6 patches cut from one gastric biopsy slide, 300 × 300 pixels each, scanned at ×20, H&E stain.
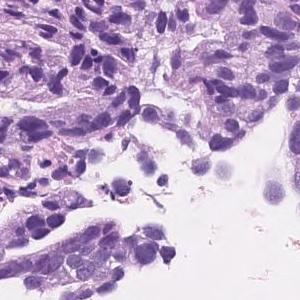
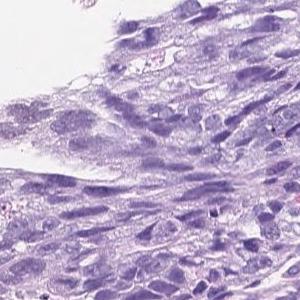
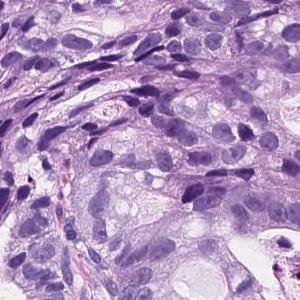
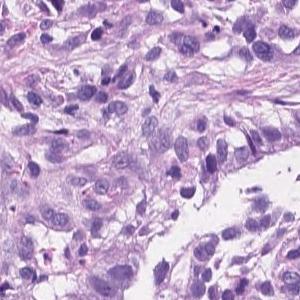
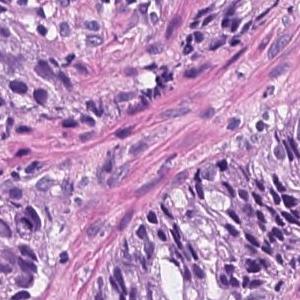
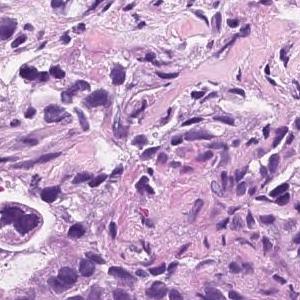
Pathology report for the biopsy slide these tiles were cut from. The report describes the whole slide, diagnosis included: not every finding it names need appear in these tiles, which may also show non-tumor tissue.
On the superficial epithelium, tumor tissue consisting of an image of large, irregular glandular ducts partially fused and infiltrated is observed. Well to moderately differentiated tubular adenocarcinoma
